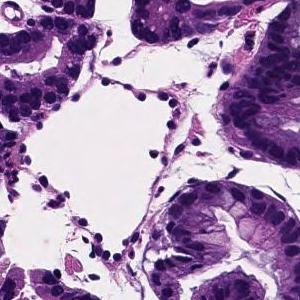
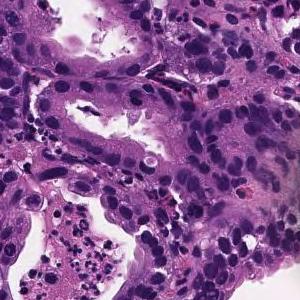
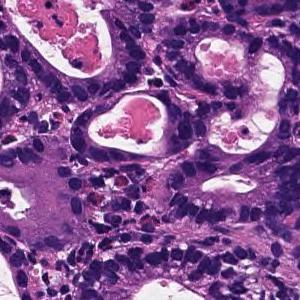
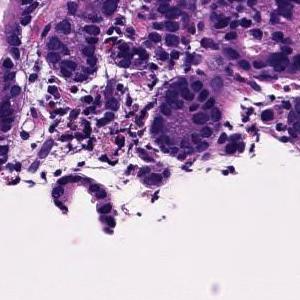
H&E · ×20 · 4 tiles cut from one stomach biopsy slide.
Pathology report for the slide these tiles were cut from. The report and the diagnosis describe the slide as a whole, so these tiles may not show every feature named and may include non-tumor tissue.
From the superficial epithelium to the muscularis mucosae, tumor tissue consisting of medium-sized and irregular glandular ducts infiltrating is observed. Well differentiated tubular adenocarcinoma
